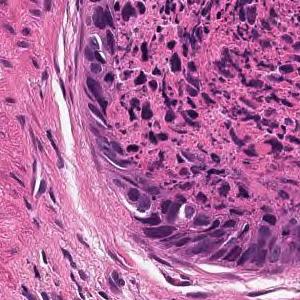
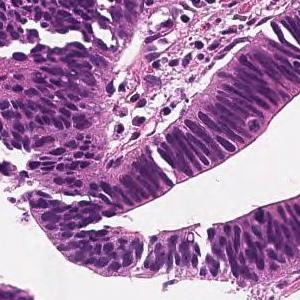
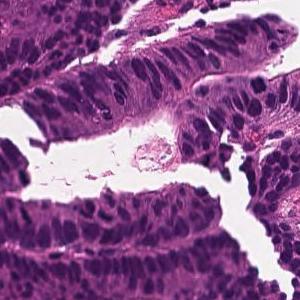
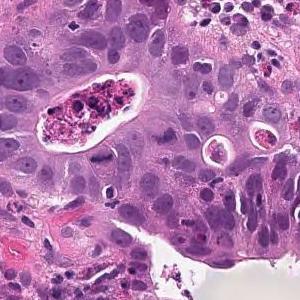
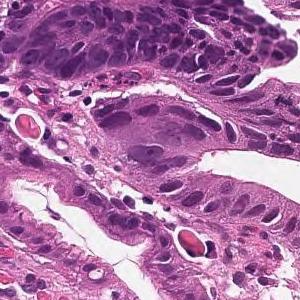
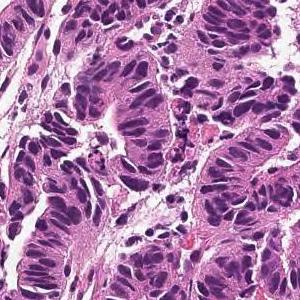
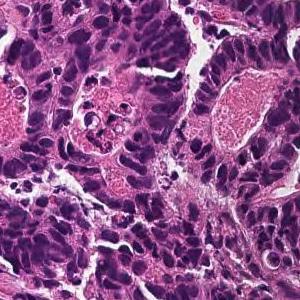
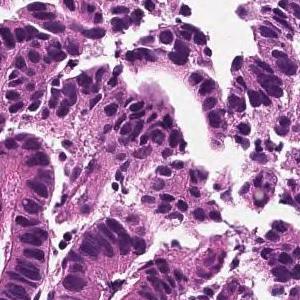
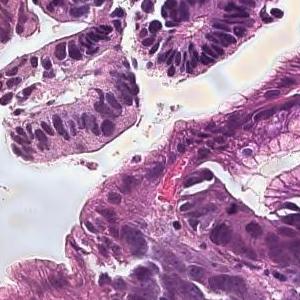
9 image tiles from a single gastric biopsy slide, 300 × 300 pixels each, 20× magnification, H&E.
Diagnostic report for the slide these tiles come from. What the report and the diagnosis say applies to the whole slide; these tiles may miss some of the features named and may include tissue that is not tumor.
From the superficial epithelium to the muscularis mucosae, tumor tissue consisting of medium-sized and irregular glandular ducts infiltrating is observed. Well differentiated tubular adenocarcinoma
